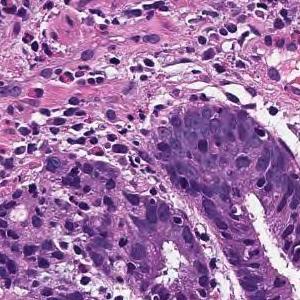
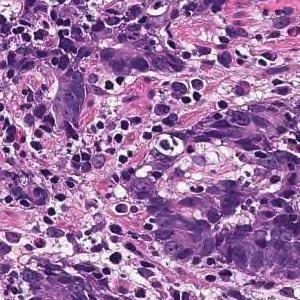
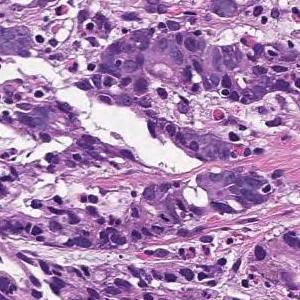
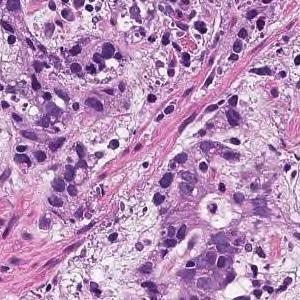
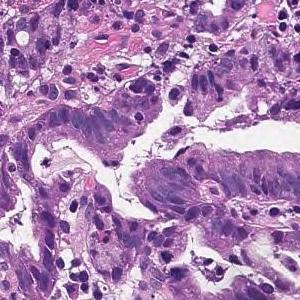
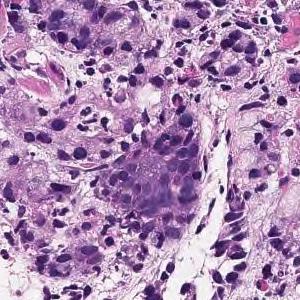
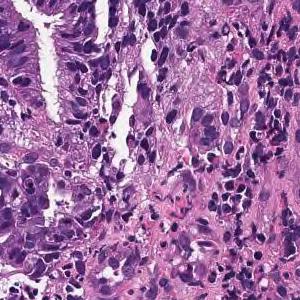
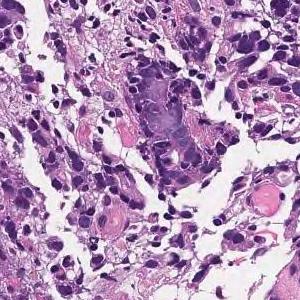
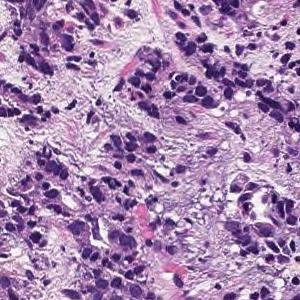
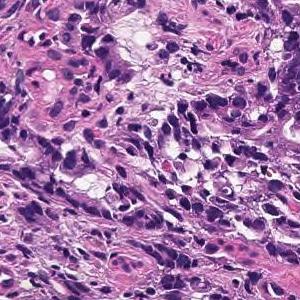
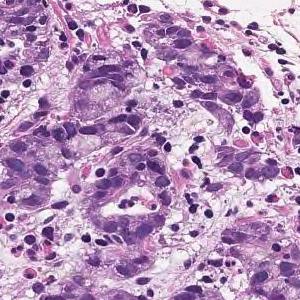
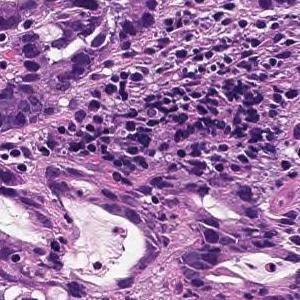
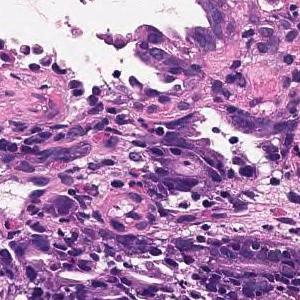
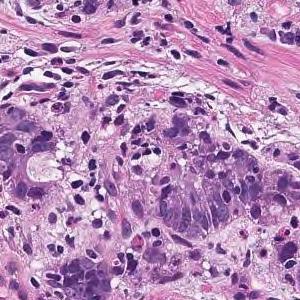
14 tiles cut from one stomach biopsy slide, each 300 × 300 pixels, hematoxylin and eosin stain, ×20.
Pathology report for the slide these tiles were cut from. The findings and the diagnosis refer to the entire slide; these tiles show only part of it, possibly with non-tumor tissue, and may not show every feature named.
Tumor tissue consisting of cord-like or small, irregular glandular ducts fused and infiltrated is observed in the superficial epithelium. Poorly differentiated adenocarcinoma, non-solid type
"Non-solid type" is a category of the Japanese Classification of Gastric Carcinoma.
